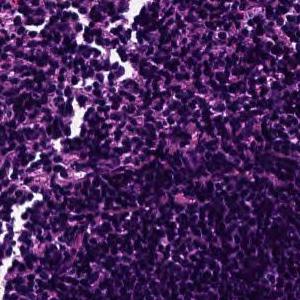
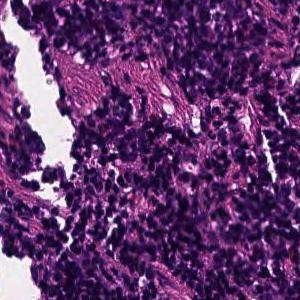
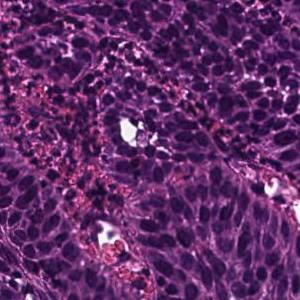
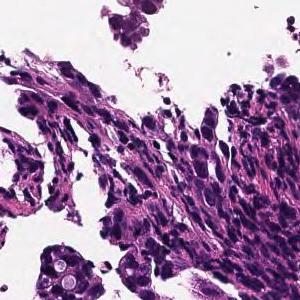
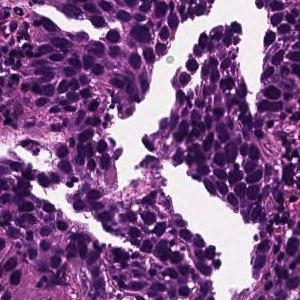
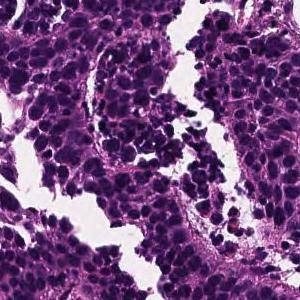
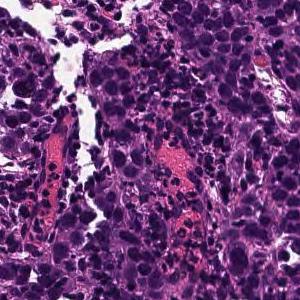
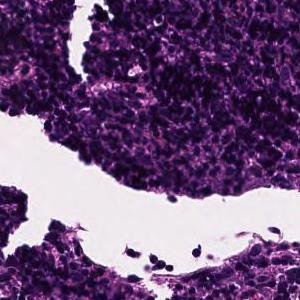
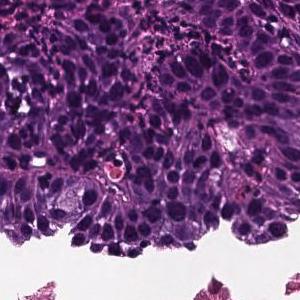
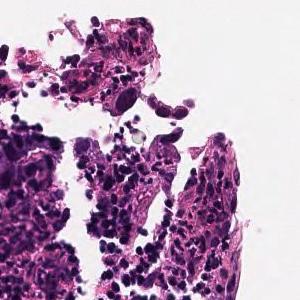
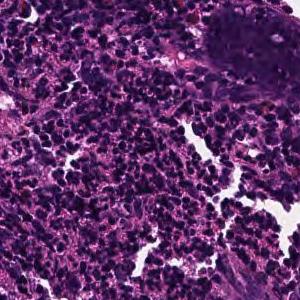
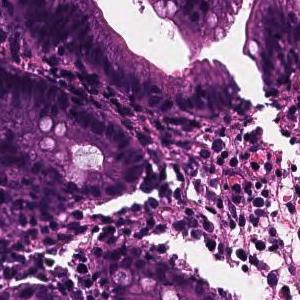
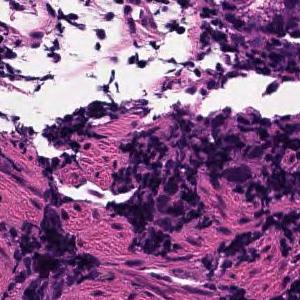
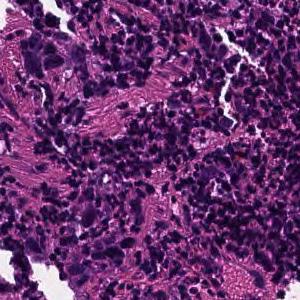
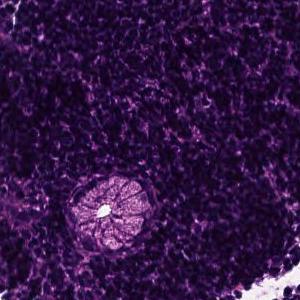
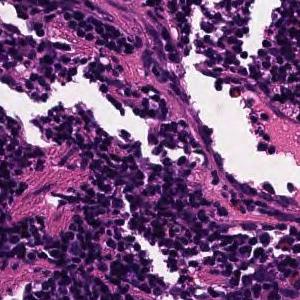
16 image tiles from a single gastric biopsy slide, 300 × 300 pixels each, scanned at ×20, H&E stain.
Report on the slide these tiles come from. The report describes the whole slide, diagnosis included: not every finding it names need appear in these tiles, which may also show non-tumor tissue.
Tumor tissue consisting of cord-like or small, irregular glandular ducts fused and infiltrated is observed in the superficial epithelium. Poorly differentiated adenocarcinoma, non-solid type
"Non-solid type" is a category of the Japanese Classification of Gastric Carcinoma.
